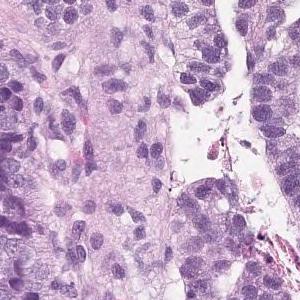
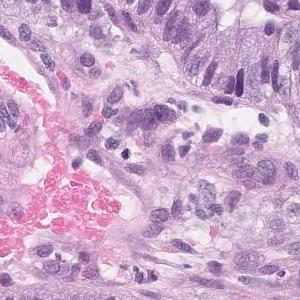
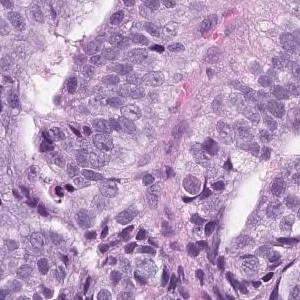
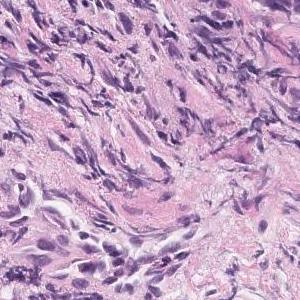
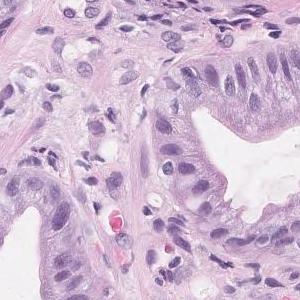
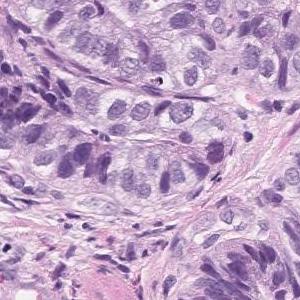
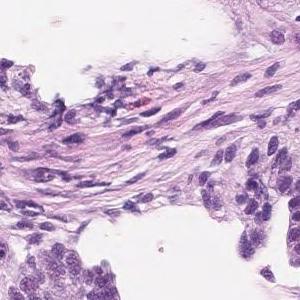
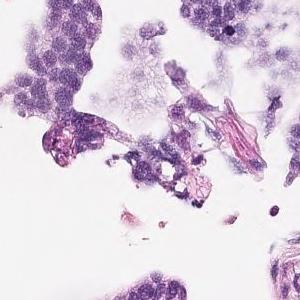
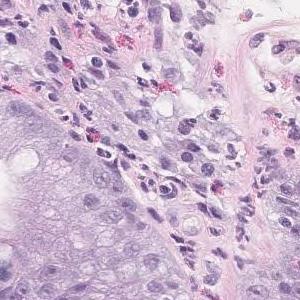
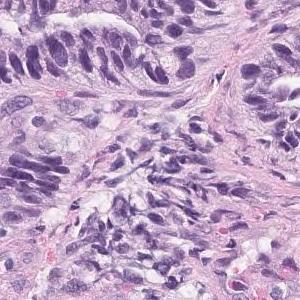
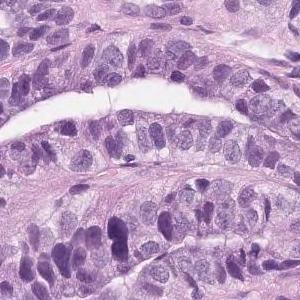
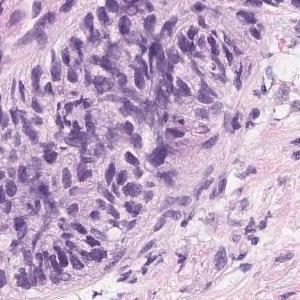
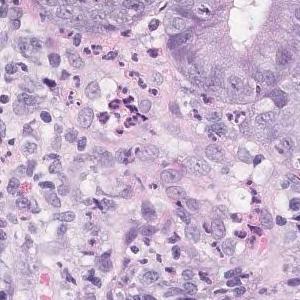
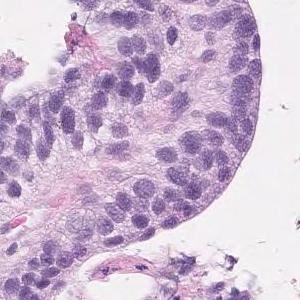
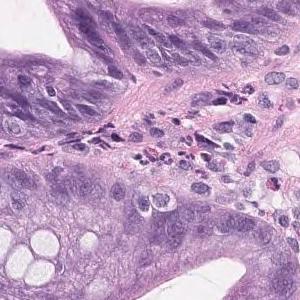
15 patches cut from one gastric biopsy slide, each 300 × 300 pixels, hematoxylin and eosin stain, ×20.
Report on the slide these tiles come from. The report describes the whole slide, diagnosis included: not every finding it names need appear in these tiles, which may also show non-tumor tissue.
Tumor tissue in which highly columnar atypical epithelial cells with nuclear enlargement and increased nuclear chromatin show papillary to papillary ductal structure and proliferate is observed. Papillary adenocarcinoma.
